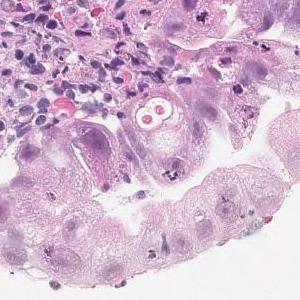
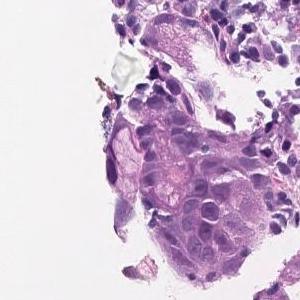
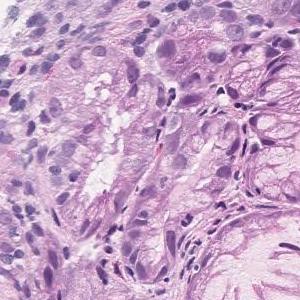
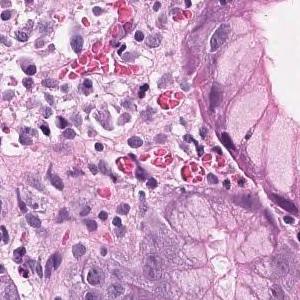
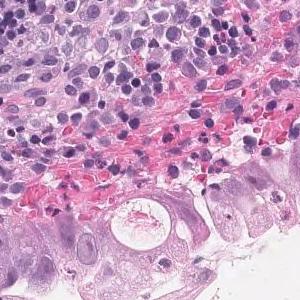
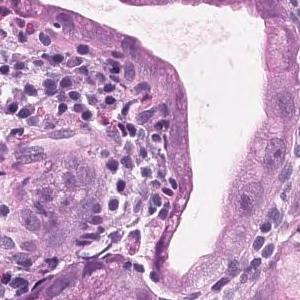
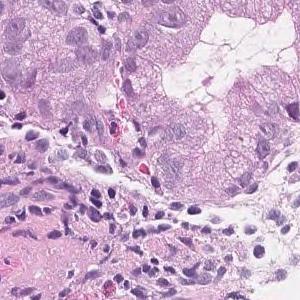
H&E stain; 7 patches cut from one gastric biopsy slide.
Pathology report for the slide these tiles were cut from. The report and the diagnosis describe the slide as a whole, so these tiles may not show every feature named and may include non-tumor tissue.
Group 5, Adenocarcinoma. Moderately differentiated tubular adenocarcinoma
